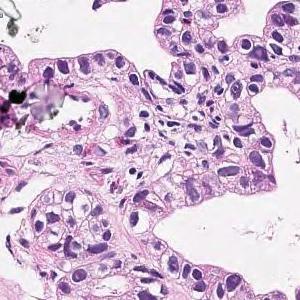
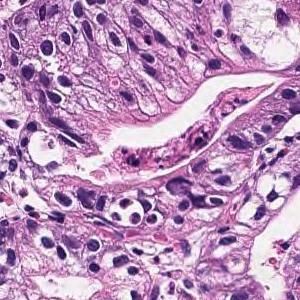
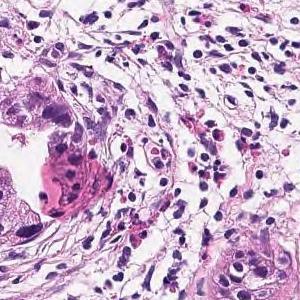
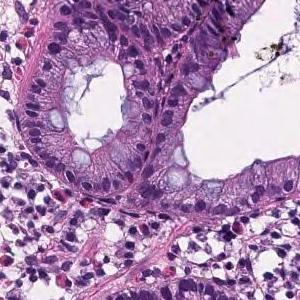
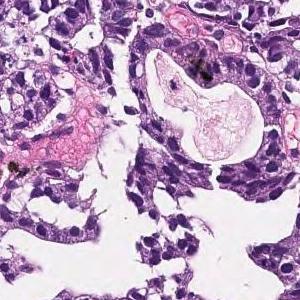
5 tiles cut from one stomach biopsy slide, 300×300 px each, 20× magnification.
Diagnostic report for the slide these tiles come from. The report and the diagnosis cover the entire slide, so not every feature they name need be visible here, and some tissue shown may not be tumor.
In the superficial epithelium, tumor tissue that invades by forming medium-sized to small, irregular ducts is observed. Moderately differentiated adenocarcinoma.
Tumor subtype: moderately differentiated tubular adenocarcinoma.
